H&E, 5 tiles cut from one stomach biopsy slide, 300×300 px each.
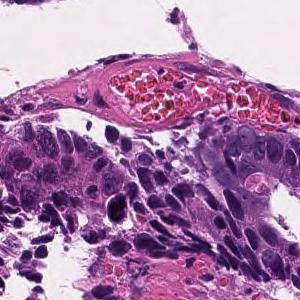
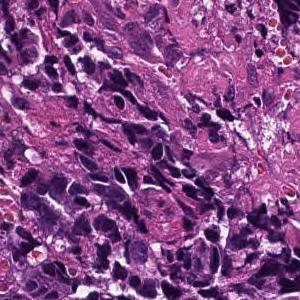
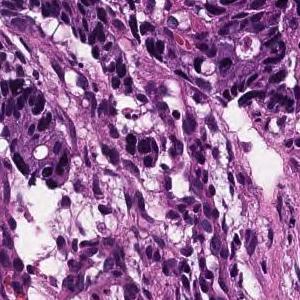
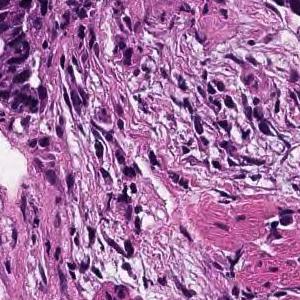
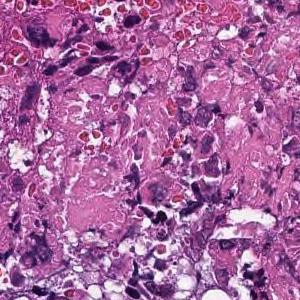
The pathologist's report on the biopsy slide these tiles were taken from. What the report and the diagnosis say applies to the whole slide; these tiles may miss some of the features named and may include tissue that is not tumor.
Tumor tissue consisting of large, irregular glandular ducts, centered on the submucosa, infiltrated by fusion with each other is observed. Well to moderately differentiated tubular adenocarcinoma (well differentiated tubular adenocarcinoma-moderately differentiated tubular adenocarcinoma)
Subtype: Well to moderately differentiated tubular adenocarcinoma.
